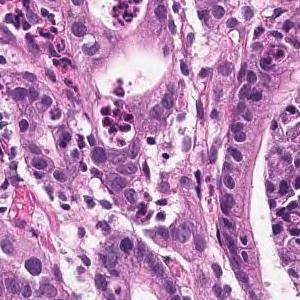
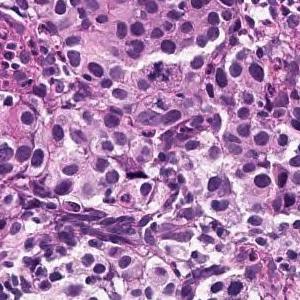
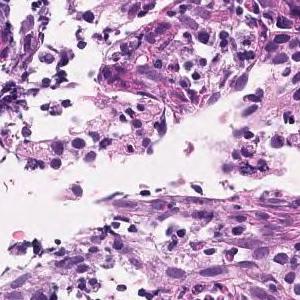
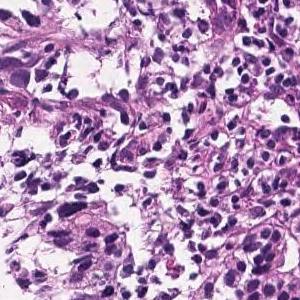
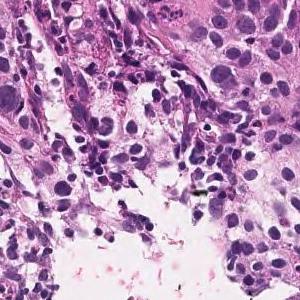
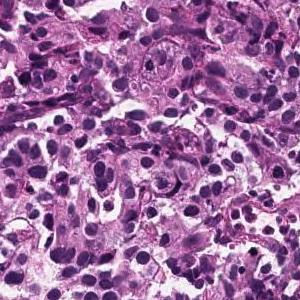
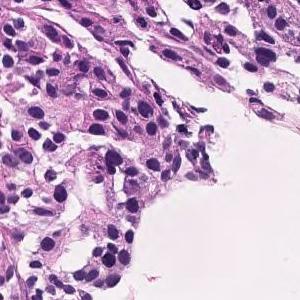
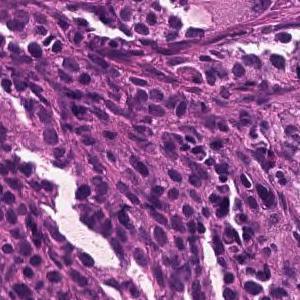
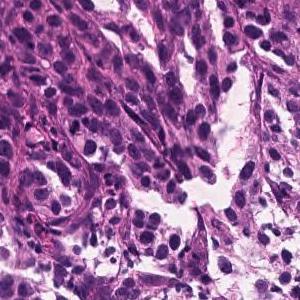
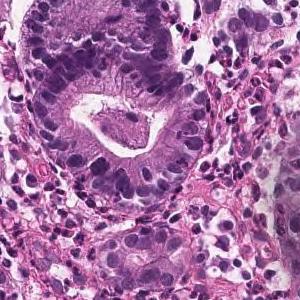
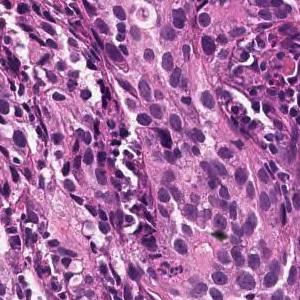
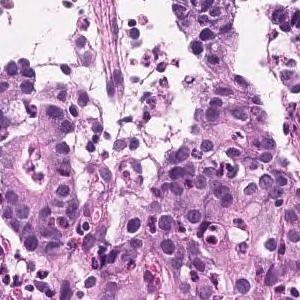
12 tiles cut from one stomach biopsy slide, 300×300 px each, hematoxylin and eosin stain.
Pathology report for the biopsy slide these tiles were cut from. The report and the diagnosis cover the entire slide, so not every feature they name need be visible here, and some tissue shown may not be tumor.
Medium to small, irregular glandular ducts are formed in the superficial epithelium, and in some cases, the glandular ducts are fused to show solid alveolar lesions and infiltrating tumor tissue is observed. Moderately to poorly differentiated adenocarcinoma.
